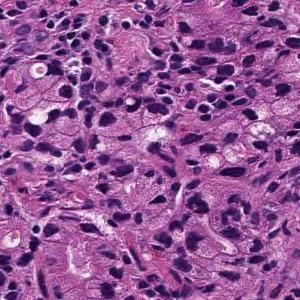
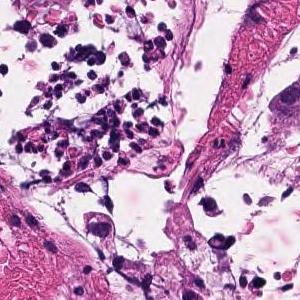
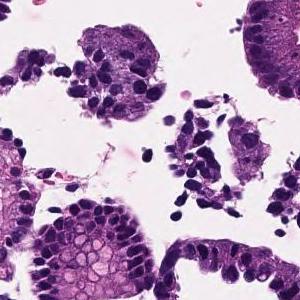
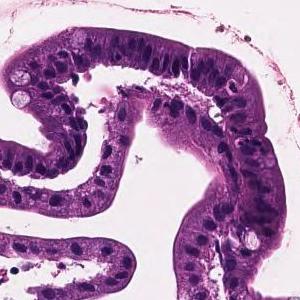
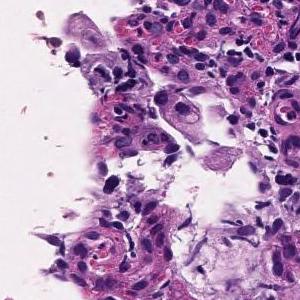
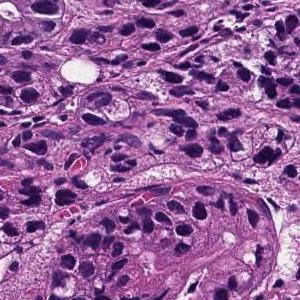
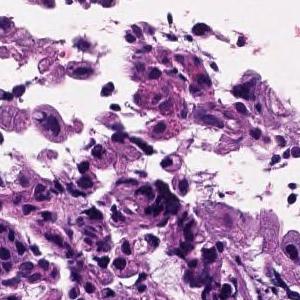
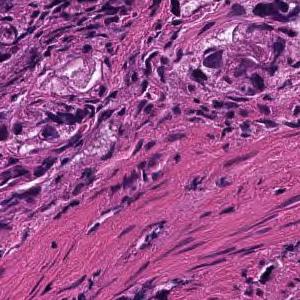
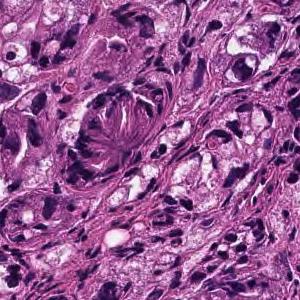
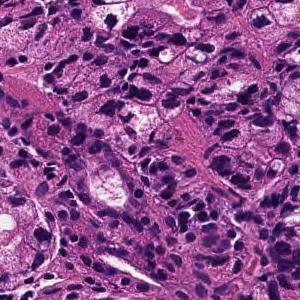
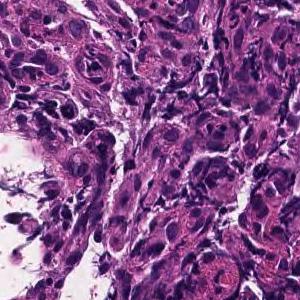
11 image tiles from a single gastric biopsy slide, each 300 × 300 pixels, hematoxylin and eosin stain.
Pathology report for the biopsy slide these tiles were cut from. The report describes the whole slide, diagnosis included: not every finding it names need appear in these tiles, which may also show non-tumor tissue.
In the superficial epithelium, tumor tissue that invades by forming medium-sized to small, irregular ducts is observed. moderately differentiated tubular adenocarcinoma.
